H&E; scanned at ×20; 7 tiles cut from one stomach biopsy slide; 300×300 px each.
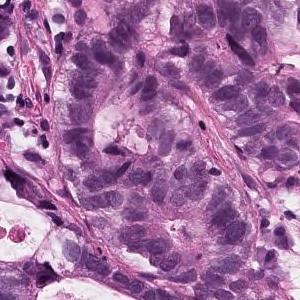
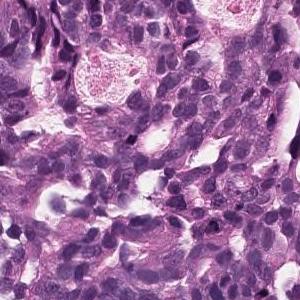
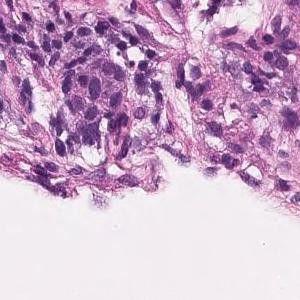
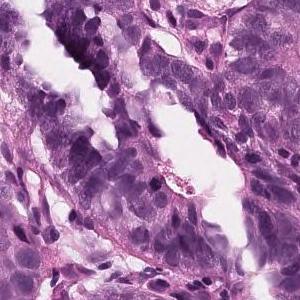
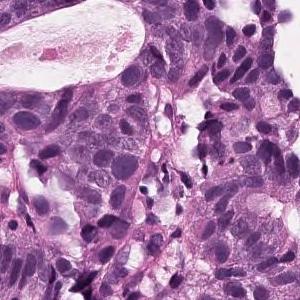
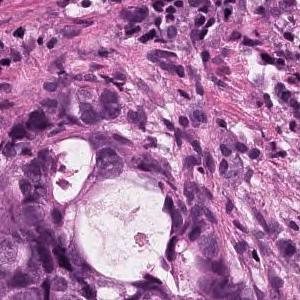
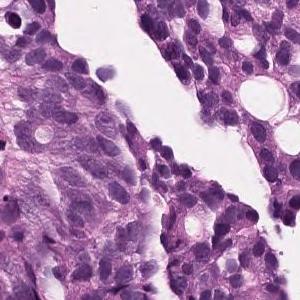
Pathology report for the slide these tiles were cut from. The report and the diagnosis cover the entire slide, so not every feature they name need be visible here, and some tissue shown may not be tumor.
On the superficial epithelium, tumor tissue consisting of large, irregular glandular ducts partially fused and infiltrated is observed. Well to moderately differentiated tubular adenocarcinoma (well differentiated tubular adenocarcinoma, moderately differentiated tubular adenocarcinoma)
Histological subtype: Well to moderately differentiated tubular adenocarcinoma.
